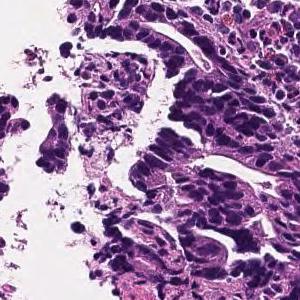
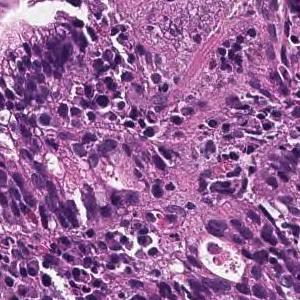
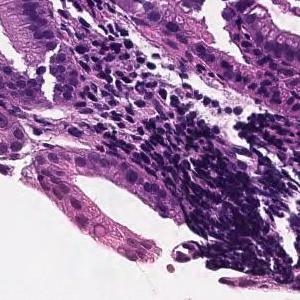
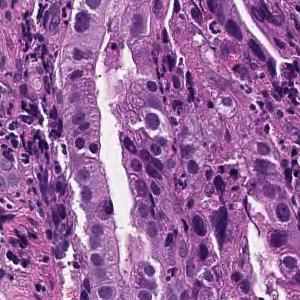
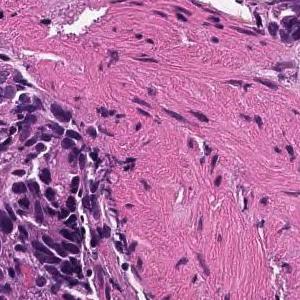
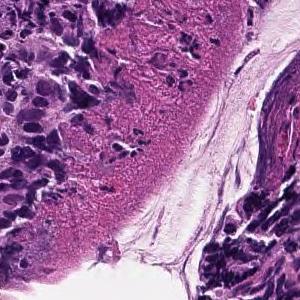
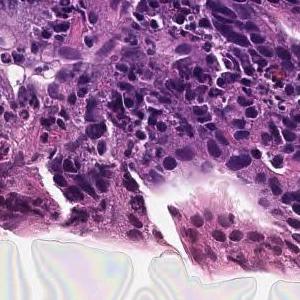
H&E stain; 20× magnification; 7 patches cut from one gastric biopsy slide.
Diagnostic report for the slide these tiles come from. What the report and the diagnosis say applies to the whole slide; these tiles may miss some of the features named and may include tissue that is not tumor.
On the superficial epithelium, tumor tissue consisting of large irregular glandular ducts partially fused and infiltrated is observed. Well to moderately differentiated tubular adenocarcinoma (well differentiated tubular adenocarcinoma, moderately differentiated tubular adenocarcinoma)
Histologic type: Well to moderately differentiated tubular adenocarcinoma.
